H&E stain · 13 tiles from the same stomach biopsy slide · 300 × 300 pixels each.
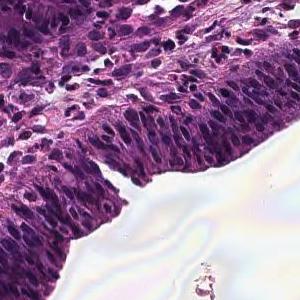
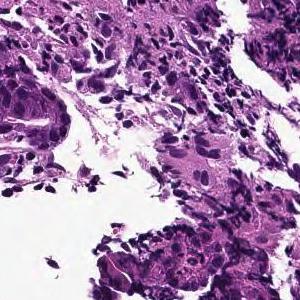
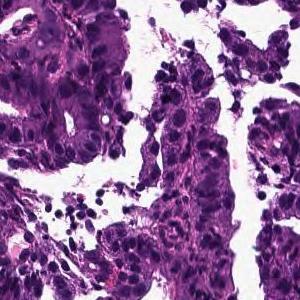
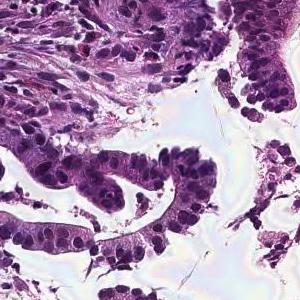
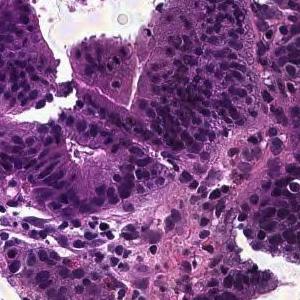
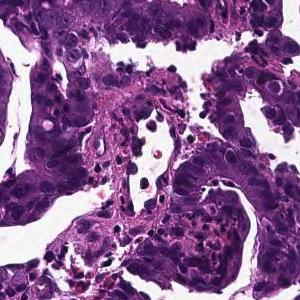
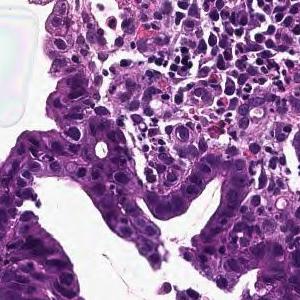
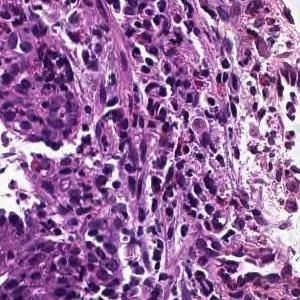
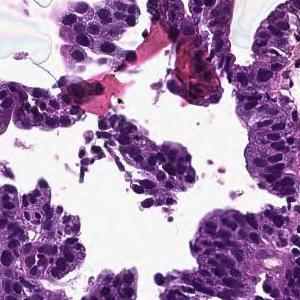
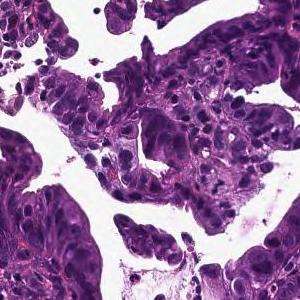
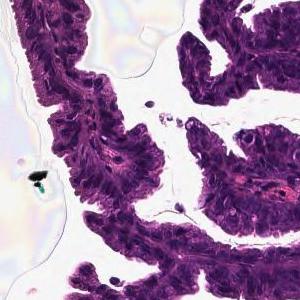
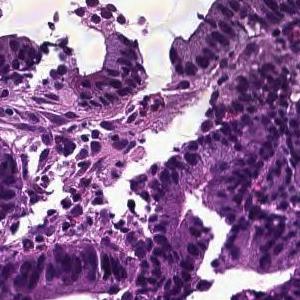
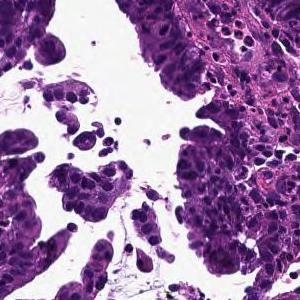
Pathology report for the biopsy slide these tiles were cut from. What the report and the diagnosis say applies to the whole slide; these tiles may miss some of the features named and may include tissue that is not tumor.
Tumor cells are large, highly columnar, large club-shaped nuclei, and are associated with chromatin aggregation. Papillary adenocarcinoma.
